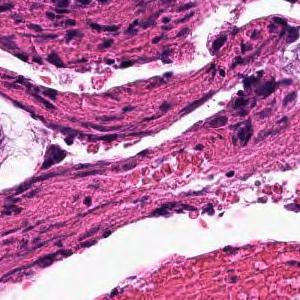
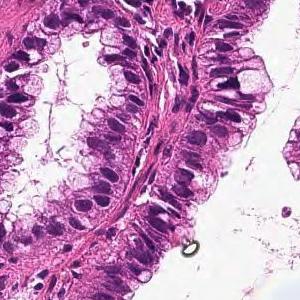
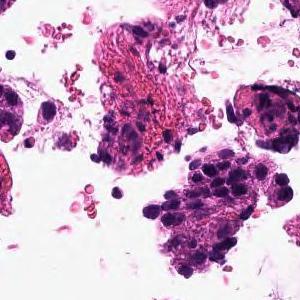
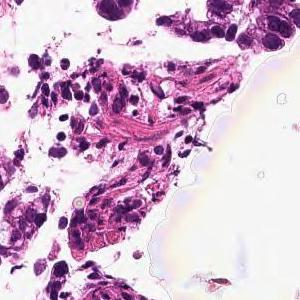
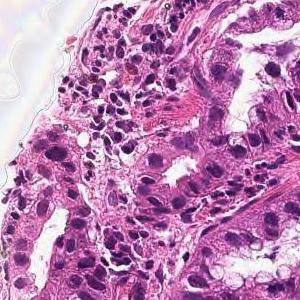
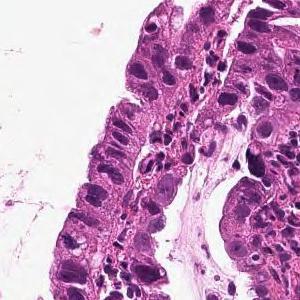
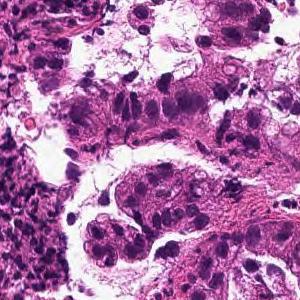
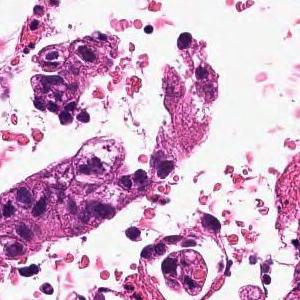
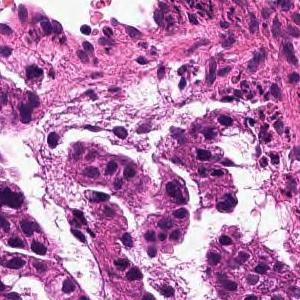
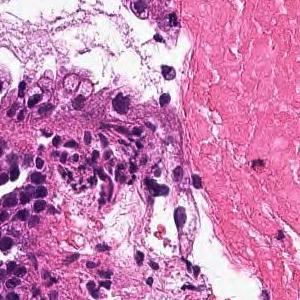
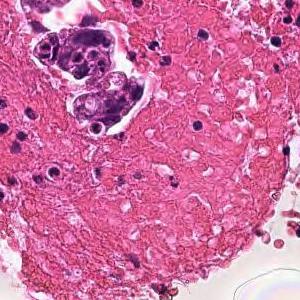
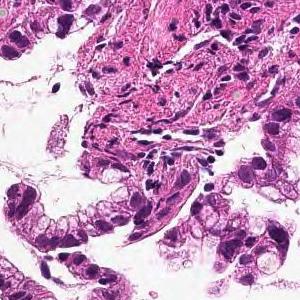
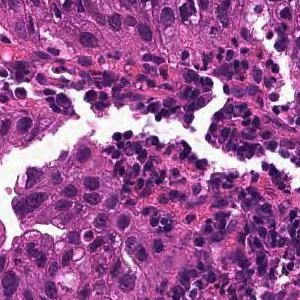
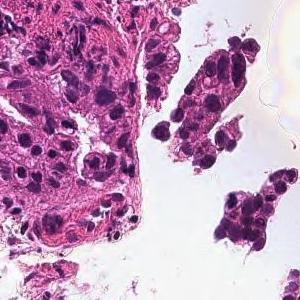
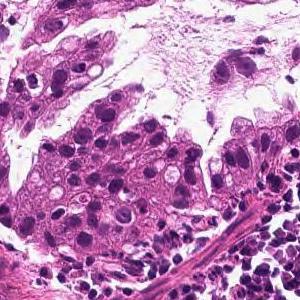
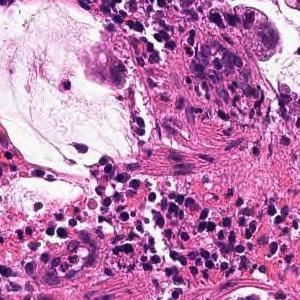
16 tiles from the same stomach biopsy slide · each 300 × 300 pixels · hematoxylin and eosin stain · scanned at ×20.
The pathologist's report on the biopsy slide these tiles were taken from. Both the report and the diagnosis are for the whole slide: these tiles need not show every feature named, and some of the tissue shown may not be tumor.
From the superficial epithelium to the muscularis mucosae, tumor tissue infiltrating by forming medium-sized irregular gland ducts is observed. Well differentiated tubular adenocarcinoma
